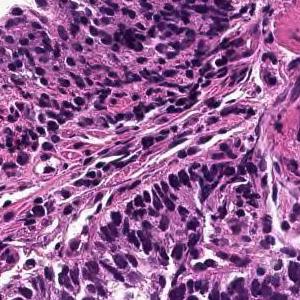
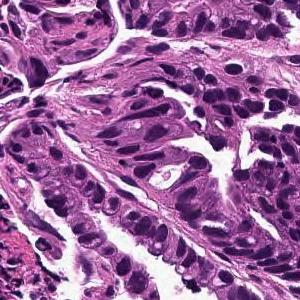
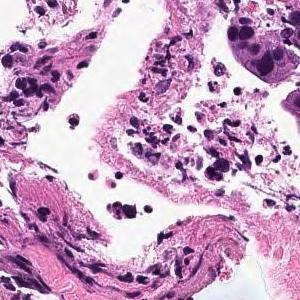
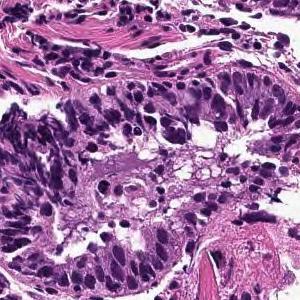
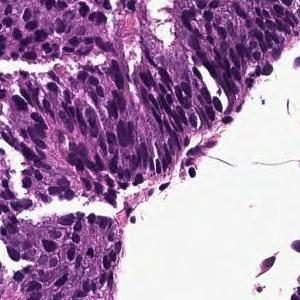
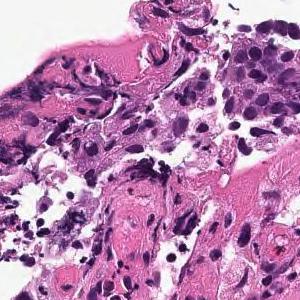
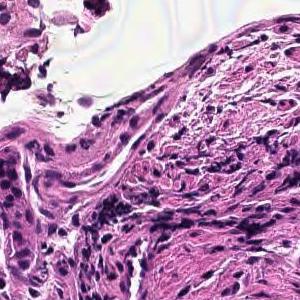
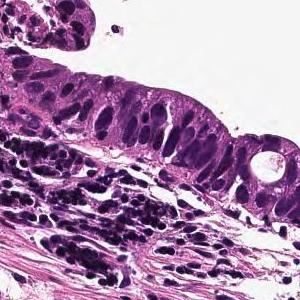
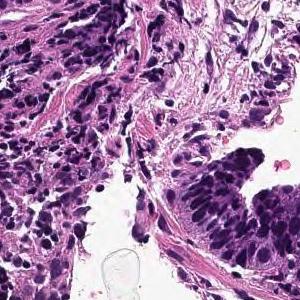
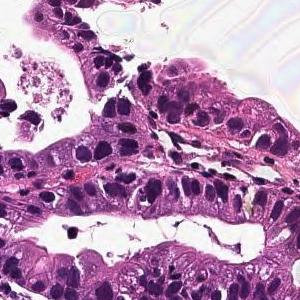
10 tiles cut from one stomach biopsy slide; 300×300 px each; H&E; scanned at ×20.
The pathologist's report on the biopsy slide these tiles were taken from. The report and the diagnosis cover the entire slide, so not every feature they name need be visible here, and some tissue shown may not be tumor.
On the superficial epithelium, tumor tissue that infiltrates by forming medium-sized papillary or small irregular ducts is observed. Papillary adenocarcinoma
